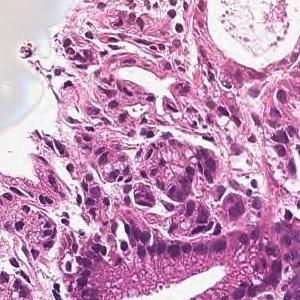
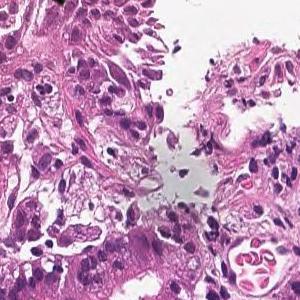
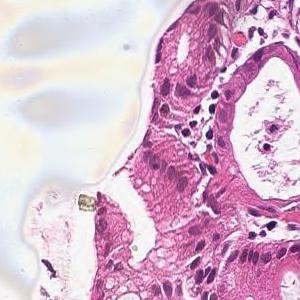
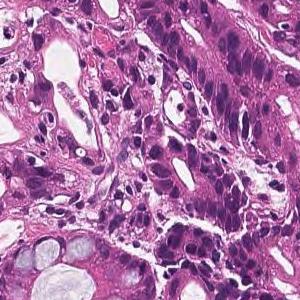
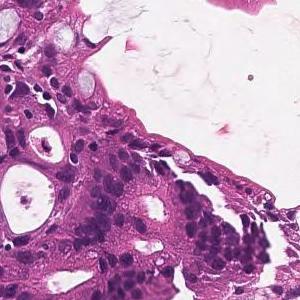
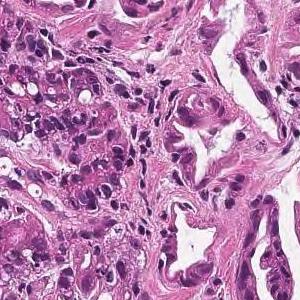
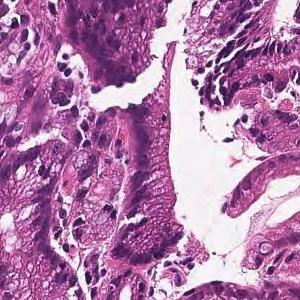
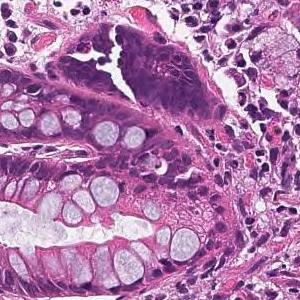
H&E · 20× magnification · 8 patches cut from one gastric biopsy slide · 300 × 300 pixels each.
Pathology report for the slide these tiles were cut from. The report describes the whole slide, diagnosis included: not every finding it names need appear in these tiles, which may also show non-tumor tissue.
In the superficial epithelium, tumor tissue that invades by forming medium-sized to small, irregular ducts is observed. moderately differentiated tubular adenocarcinoma.
